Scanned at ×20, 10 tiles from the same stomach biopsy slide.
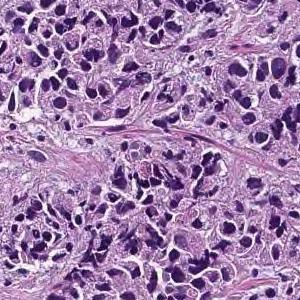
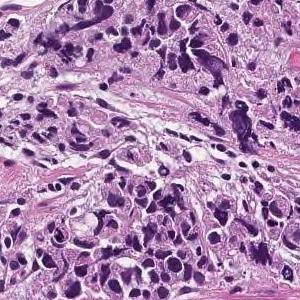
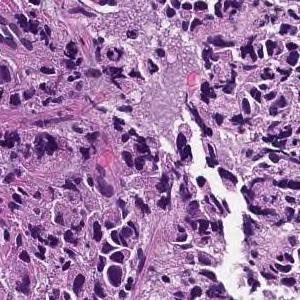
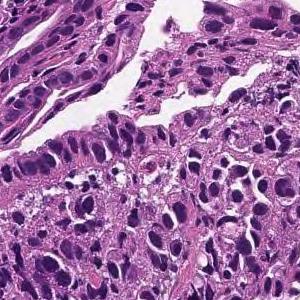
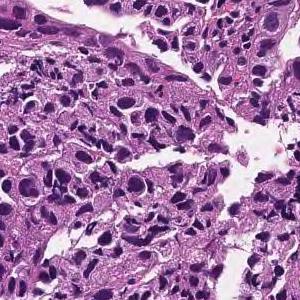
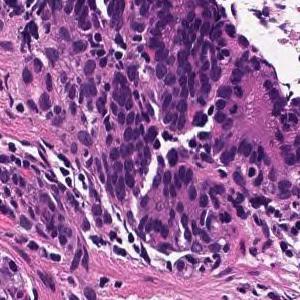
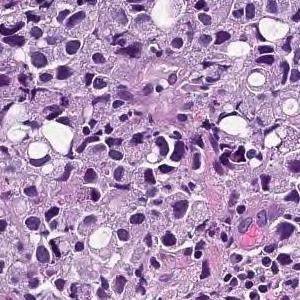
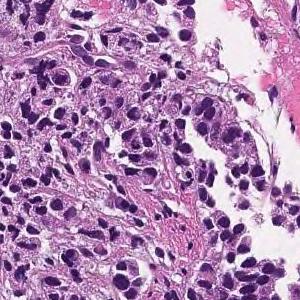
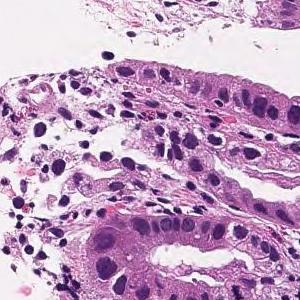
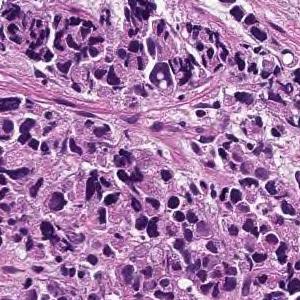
Report on the slide these tiles come from. The report describes the whole slide, diagnosis included: not every finding it names need appear in these tiles, which may also show non-tumor tissue.
The lamina propria shows small cord-like tumor tissue that infiltrates with fibrosis and marked chronic inflammatory cell infiltration. Poorly differentiated adenocarcinoma, non-solid type
"Non-solid type" is a category of the Japanese Classification of Gastric Carcinoma.
